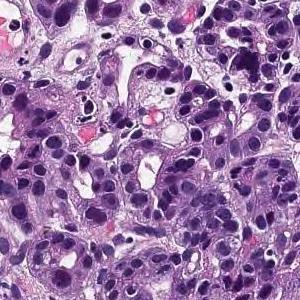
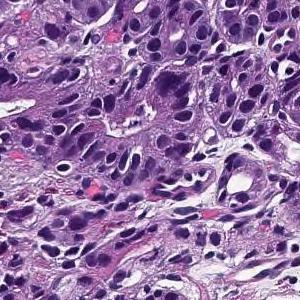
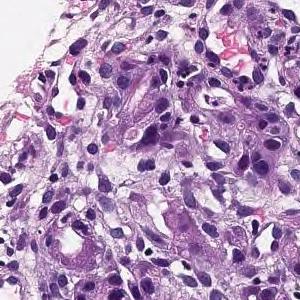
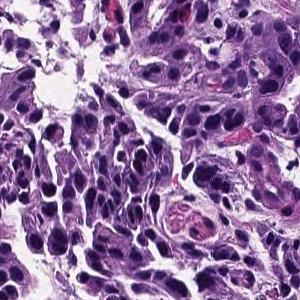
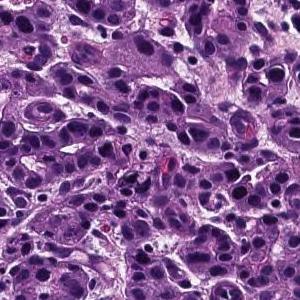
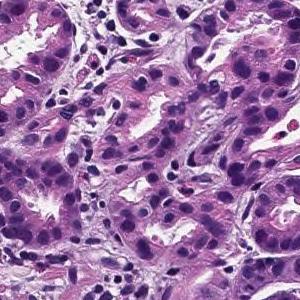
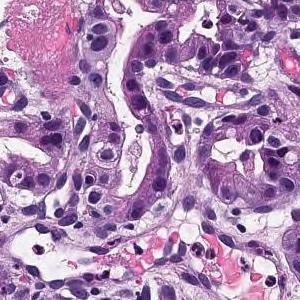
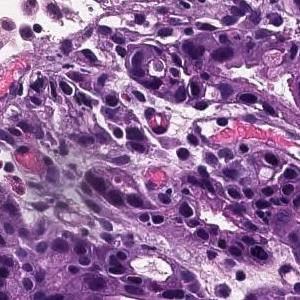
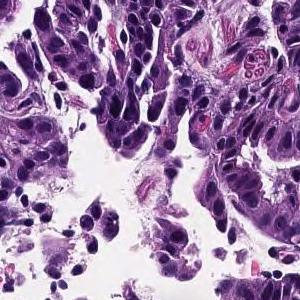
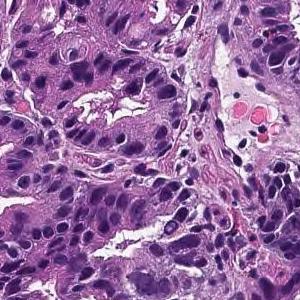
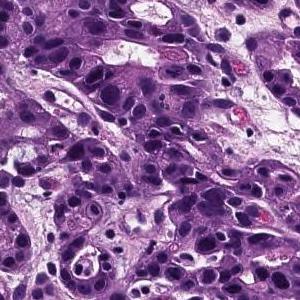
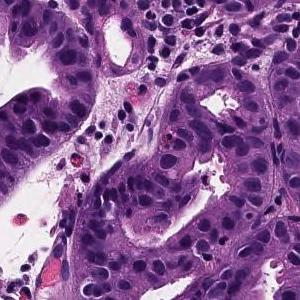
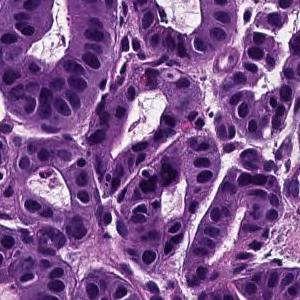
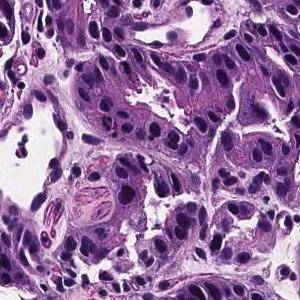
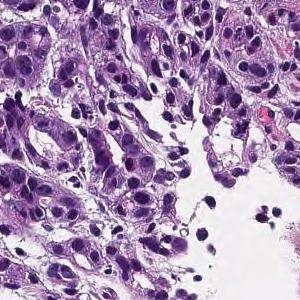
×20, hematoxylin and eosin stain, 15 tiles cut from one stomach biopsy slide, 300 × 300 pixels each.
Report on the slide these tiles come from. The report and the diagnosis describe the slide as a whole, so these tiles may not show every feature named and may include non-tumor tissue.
From the superficial epithelium to the muscularis mucosae, tumor tissue consisting of medium-sized and irregular glandular ducts infiltrating is observed. Well differentiated tubular adenocarcinoma
